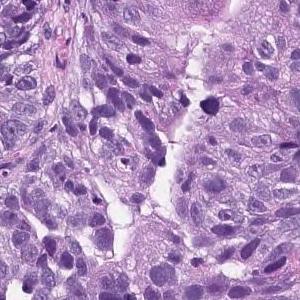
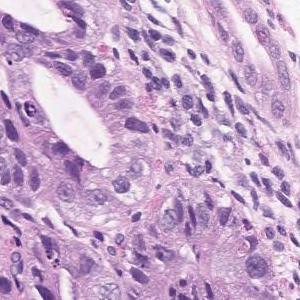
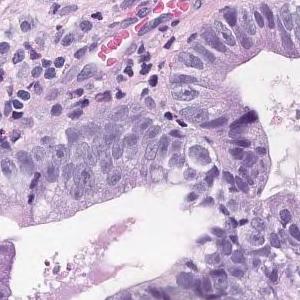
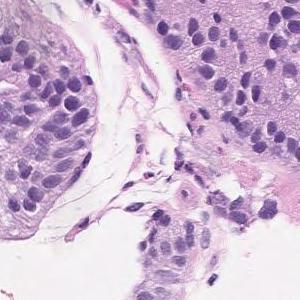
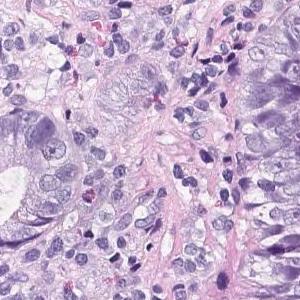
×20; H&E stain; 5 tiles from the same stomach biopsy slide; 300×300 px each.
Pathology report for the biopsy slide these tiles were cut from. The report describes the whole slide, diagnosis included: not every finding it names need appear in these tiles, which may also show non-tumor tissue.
On the superficial epithelium, tumor tissue consisting of medium to small irregular tubules partially fused and proliferated is observed. moderately differentiated tubular adenocarcinoma
